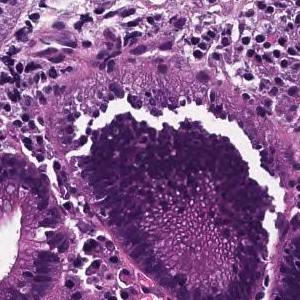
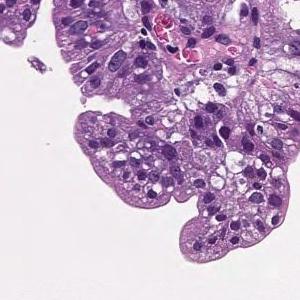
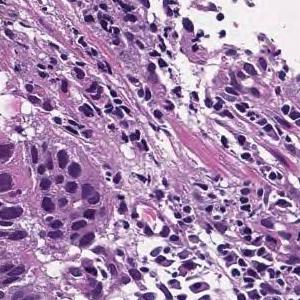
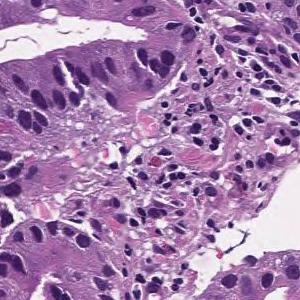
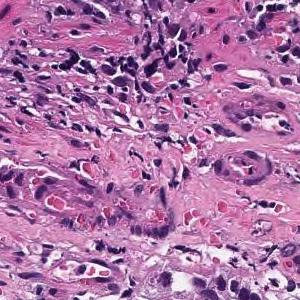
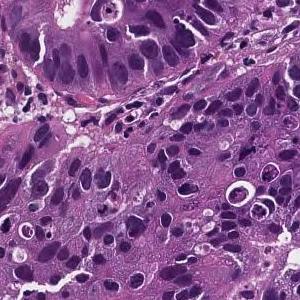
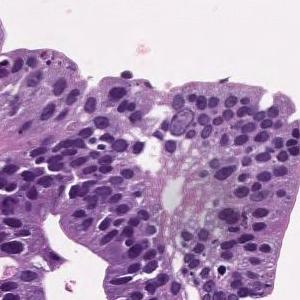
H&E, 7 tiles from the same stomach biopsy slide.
The pathologist's report on the biopsy slide these tiles were taken from. The report describes the whole slide, diagnosis included: not every finding it names need appear in these tiles, which may also show non-tumor tissue.
Tumor cells are large, highly columnar, large club-shaped nuclei, and are associated with chromatin aggregation. Papillary adenocarcinoma.
